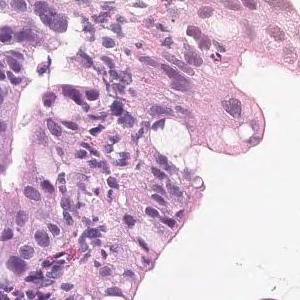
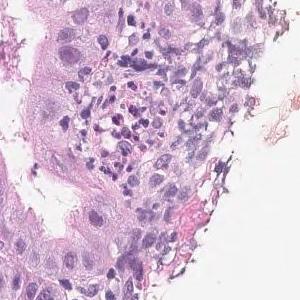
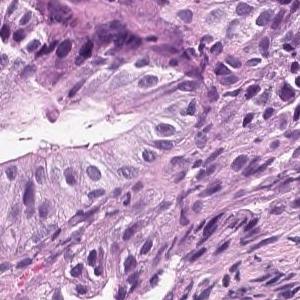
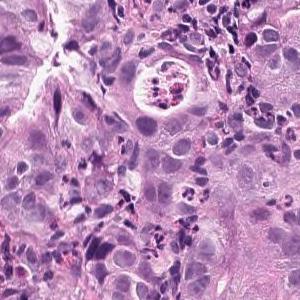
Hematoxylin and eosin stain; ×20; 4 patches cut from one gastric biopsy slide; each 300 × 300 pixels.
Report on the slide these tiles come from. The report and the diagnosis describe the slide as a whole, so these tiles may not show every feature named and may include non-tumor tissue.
On the superficial epithelium, tumor tissue consisting of medium-sized to large-sized, irregular tubules partially fused and densely proliferating is observed. moderately differentiated tubular adenocarcinoma
